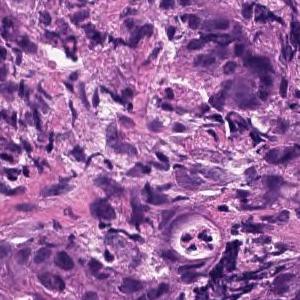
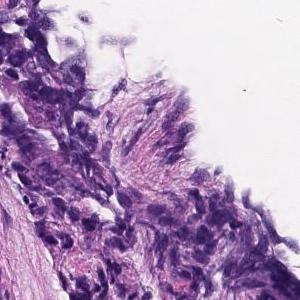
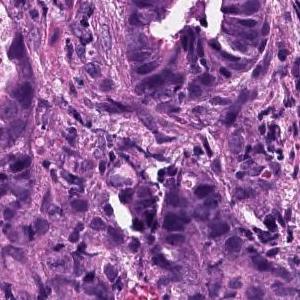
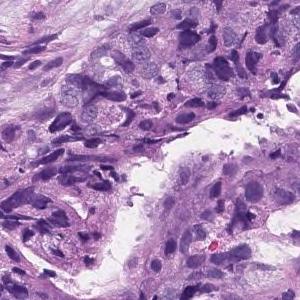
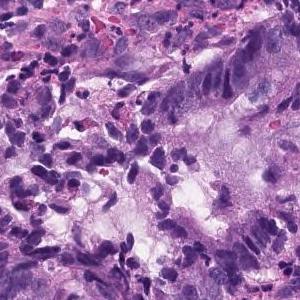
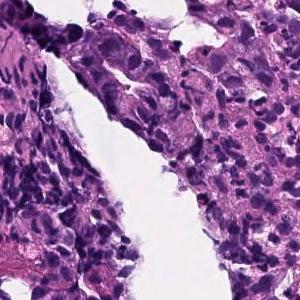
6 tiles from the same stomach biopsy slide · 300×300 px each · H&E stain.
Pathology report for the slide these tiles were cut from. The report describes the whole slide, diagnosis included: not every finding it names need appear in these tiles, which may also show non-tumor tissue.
Medium to small, irregular glandular ducts are formed in the superficial epithelium, and in some cases, the glandular ducts are fused to show solid alveolar lesions and infiltrating tumor tissue is observed. Moderately to poorly differentiated adenocarcinoma.
